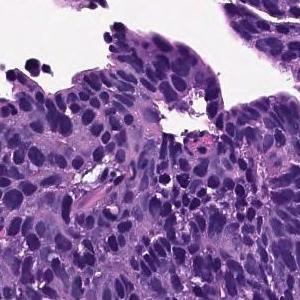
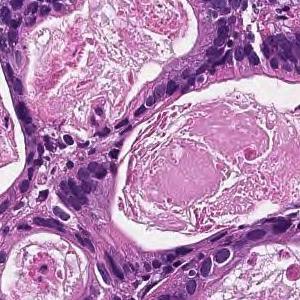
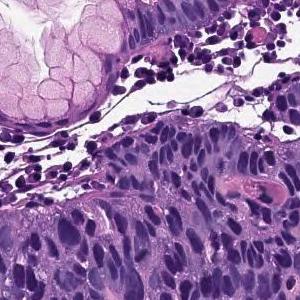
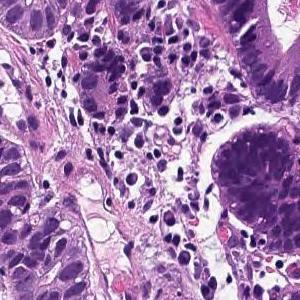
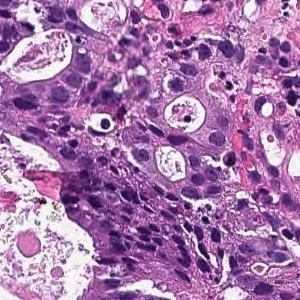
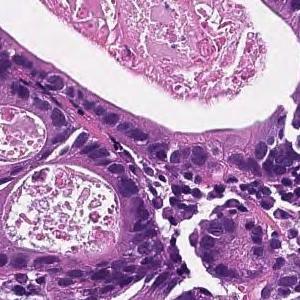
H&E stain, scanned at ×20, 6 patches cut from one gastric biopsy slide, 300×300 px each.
Pathology report for the slide these tiles were cut from. The report and the diagnosis cover the entire slide, so not every feature they name need be visible here, and some tissue shown may not be tumor.
In the superficial epithelium, tumor tissue that invades by forming medium-sized to small, irregular ducts is observed. moderately differentiated tubular adenocarcinoma.
